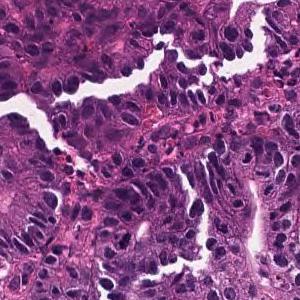
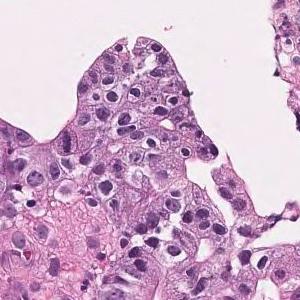
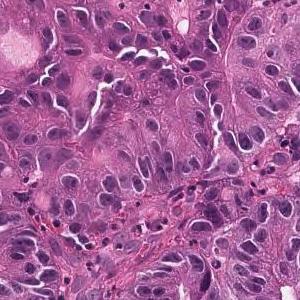
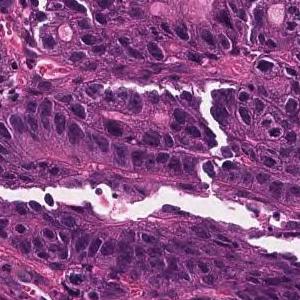
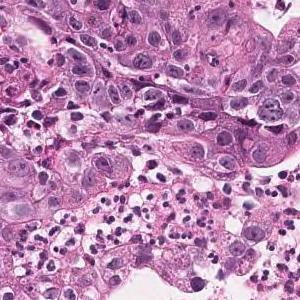
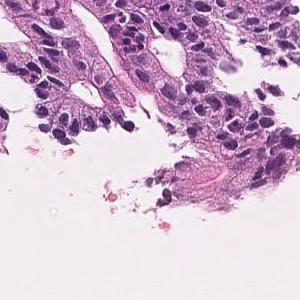
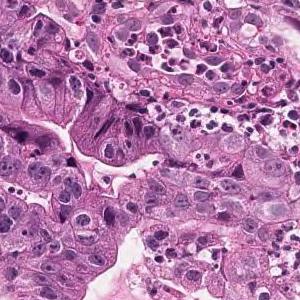
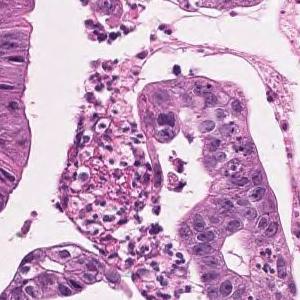
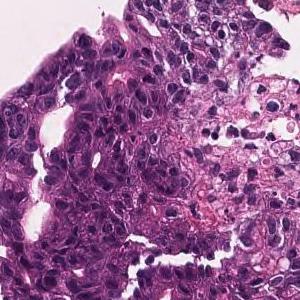
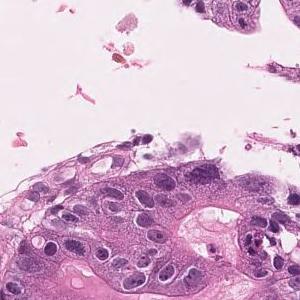
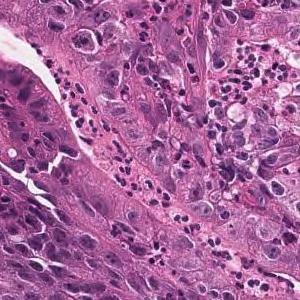
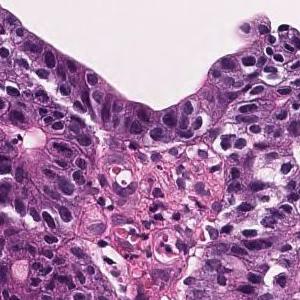
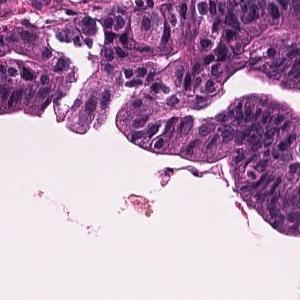
13 tiles cut from one stomach biopsy slide · H&E · 20× magnification.
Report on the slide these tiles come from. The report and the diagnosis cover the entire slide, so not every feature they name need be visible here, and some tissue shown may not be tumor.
In the superficial epithelium, tumor tissue that invades by forming medium-sized to small, irregular ducts is observed. Well differentiated tubular adenocarcinoma.
